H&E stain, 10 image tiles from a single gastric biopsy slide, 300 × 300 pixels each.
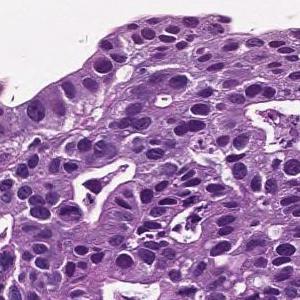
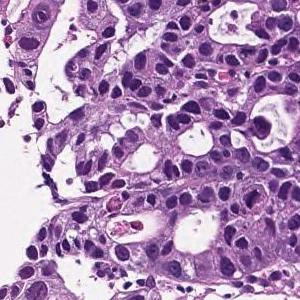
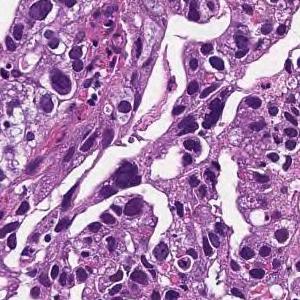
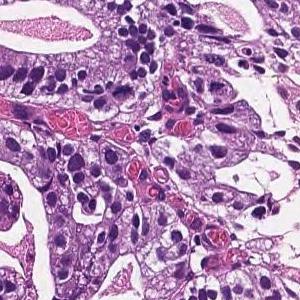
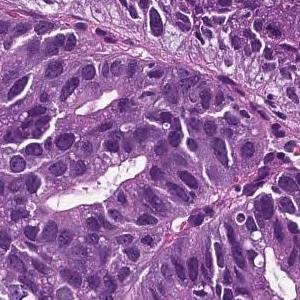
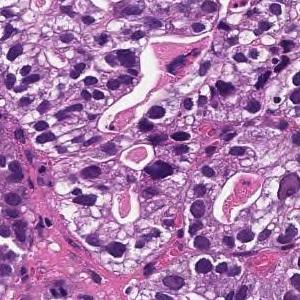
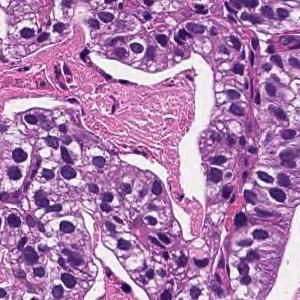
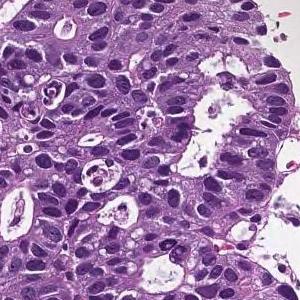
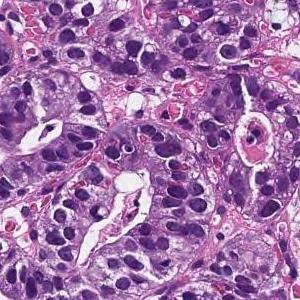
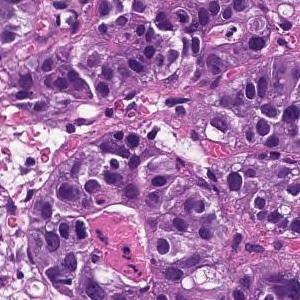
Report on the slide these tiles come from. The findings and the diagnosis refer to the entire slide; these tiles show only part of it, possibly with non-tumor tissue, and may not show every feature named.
On the superficial epithelium, tumor tissue consisting of large, irregular glandular ducts partially fused and infiltrated is observed. Well to moderately differentiated tubular adenocarcinoma (well differentiated tubular adenocarcinoma, moderately differentiated tubular adenocarcinoma)
Tumor subtype: well to moderately differentiated tubular adenocarcinoma.
